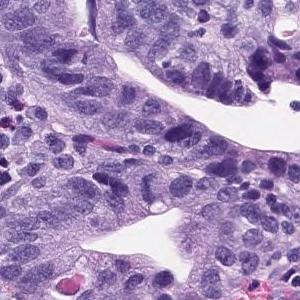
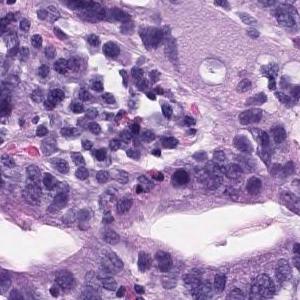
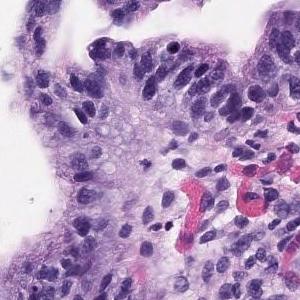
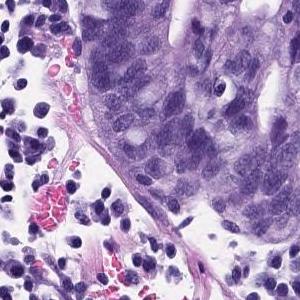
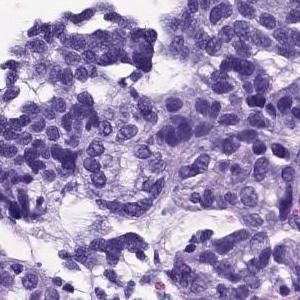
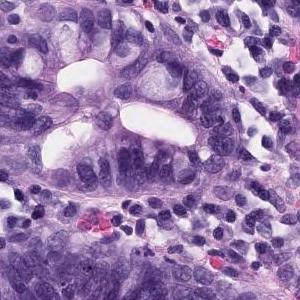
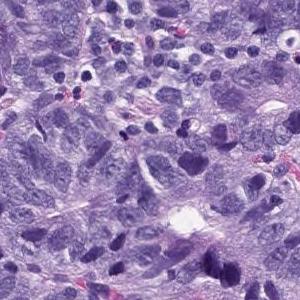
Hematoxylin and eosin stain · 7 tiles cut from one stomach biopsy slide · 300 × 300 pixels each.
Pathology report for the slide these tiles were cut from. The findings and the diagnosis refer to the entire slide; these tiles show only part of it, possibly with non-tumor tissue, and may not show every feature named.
In the superficial epithelium, tumor tissue that invades by forming medium-sized to small, irregular ducts is observed. Moderately differentiated adenocarcinoma.
Subtype: Moderately differentiated tubular adenocarcinoma.
